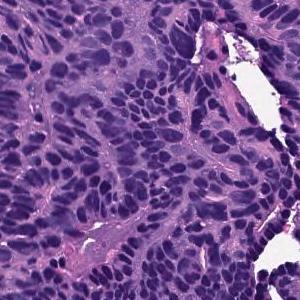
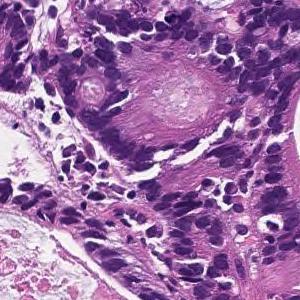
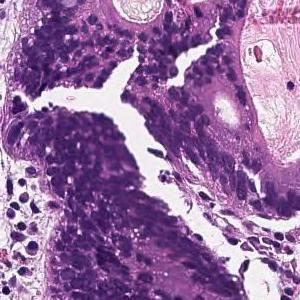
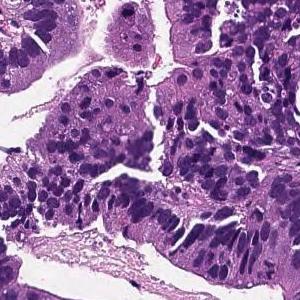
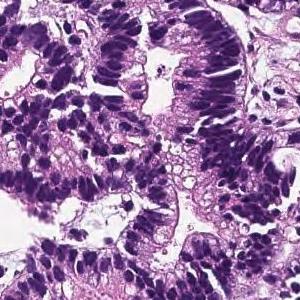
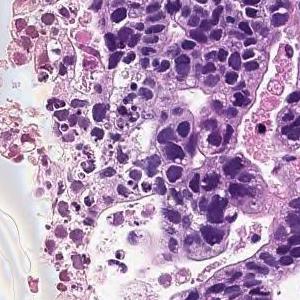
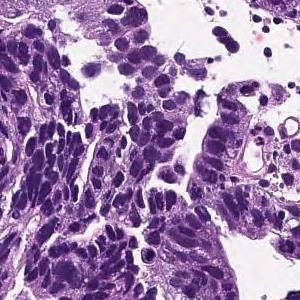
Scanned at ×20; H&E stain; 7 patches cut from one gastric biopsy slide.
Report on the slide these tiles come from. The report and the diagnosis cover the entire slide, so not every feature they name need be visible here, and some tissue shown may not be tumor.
In the superficial epithelium, tumor tissue that invades by forming medium-sized to small, irregular ducts is observed. moderately differentiated tubular adenocarcinoma.
